6 image tiles from a single gastric biopsy slide, 300×300 px each, scanned at ×20, H&E.
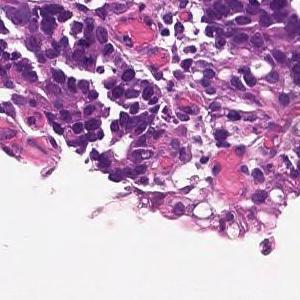
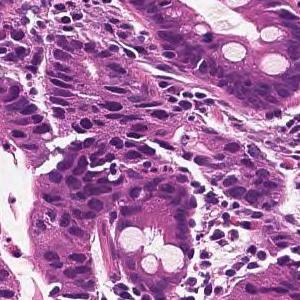
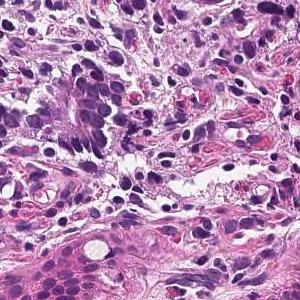
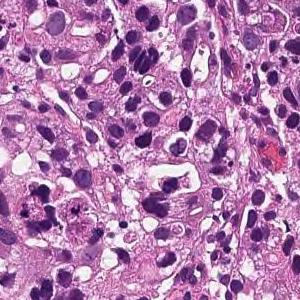
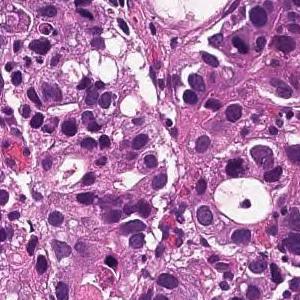
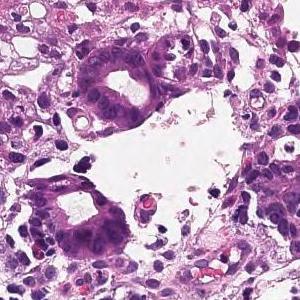
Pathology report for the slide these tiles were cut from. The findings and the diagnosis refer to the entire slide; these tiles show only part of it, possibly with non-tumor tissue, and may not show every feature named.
On the superficial epithelium, tumor tissue is found in which medium-sized irregular gland ducts fuse with each other and infiltrate. moderately differentiated tubular adenocarcinoma
